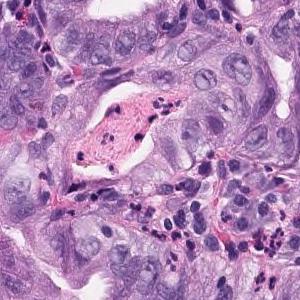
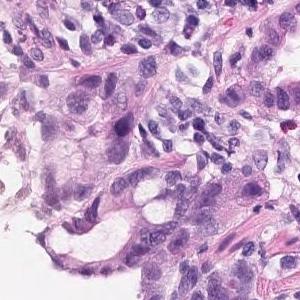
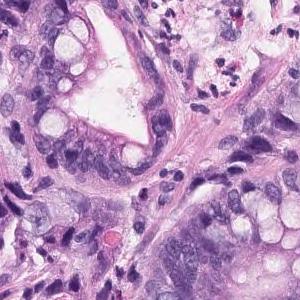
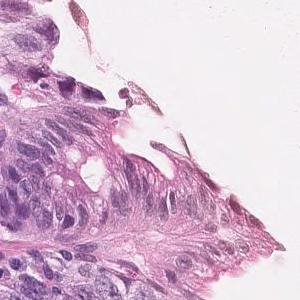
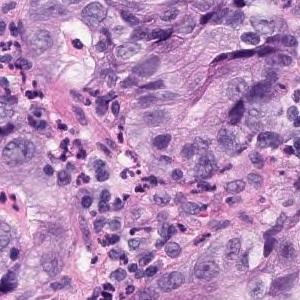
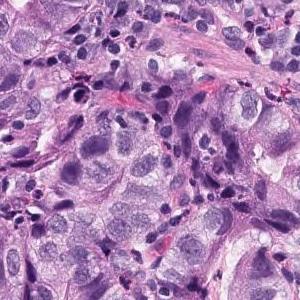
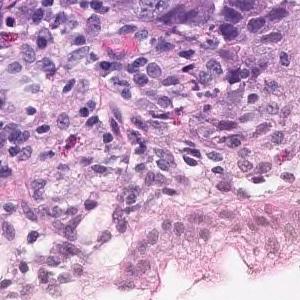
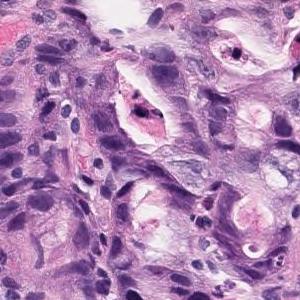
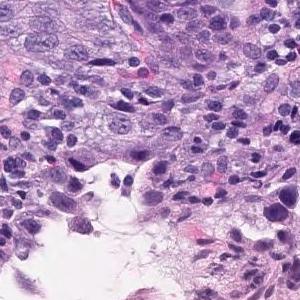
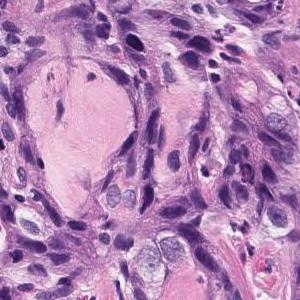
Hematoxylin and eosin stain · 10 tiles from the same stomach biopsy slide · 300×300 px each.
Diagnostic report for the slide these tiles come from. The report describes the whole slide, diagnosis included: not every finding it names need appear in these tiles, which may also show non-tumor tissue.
In the superficial epithelium, tumor tissue that invades by forming medium-sized to small irregular glandular ducts is observed. Moderately differentiated adenocarcinoma.
Histological subtype: Moderately differentiated tubular adenocarcinoma.
